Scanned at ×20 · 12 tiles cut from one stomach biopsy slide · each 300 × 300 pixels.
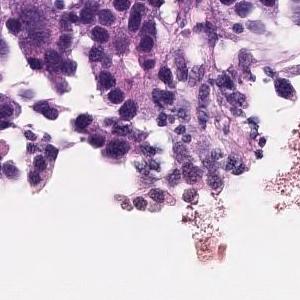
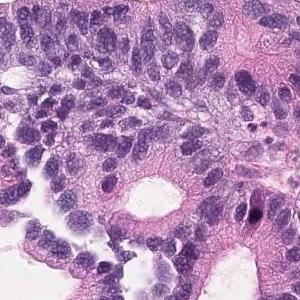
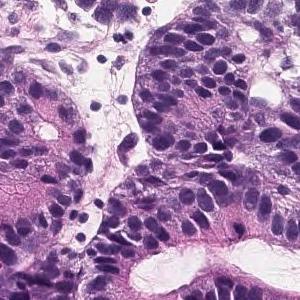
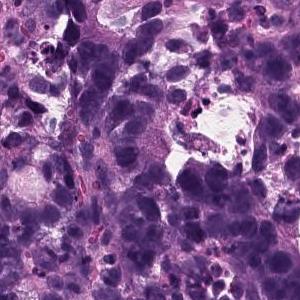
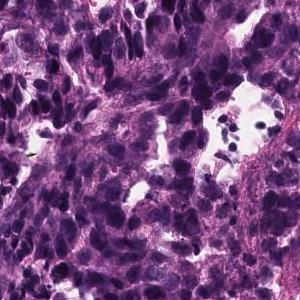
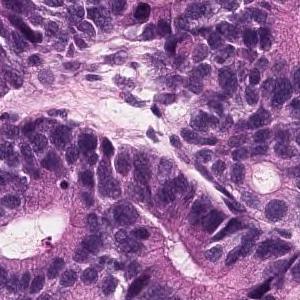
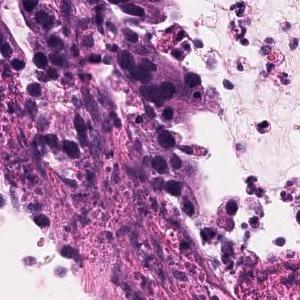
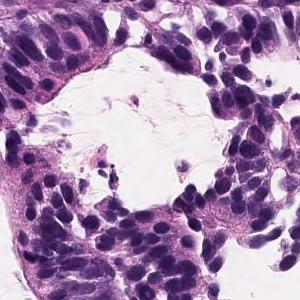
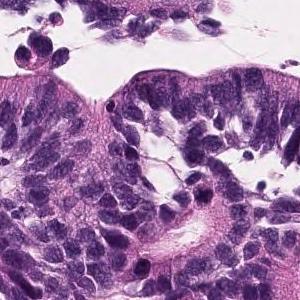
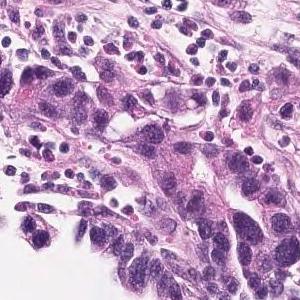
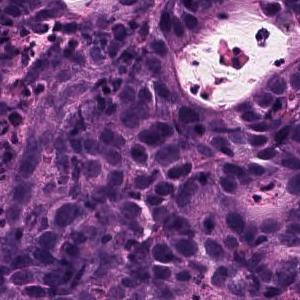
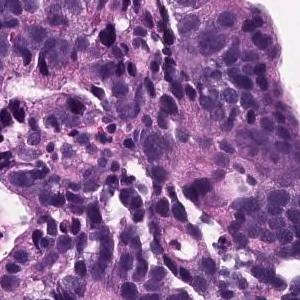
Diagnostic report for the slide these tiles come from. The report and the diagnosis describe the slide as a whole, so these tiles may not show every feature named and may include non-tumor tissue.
In the superficial epithelium, tumor tissue that invades by forming medium-sized to small, irregular ducts is observed. moderately differentiated tubular adenocarcinoma.
